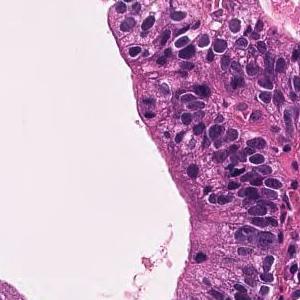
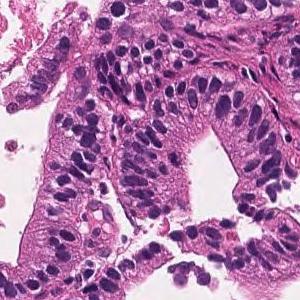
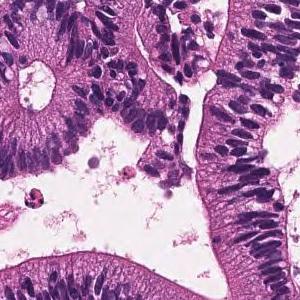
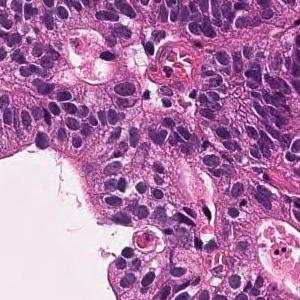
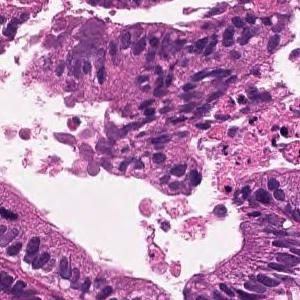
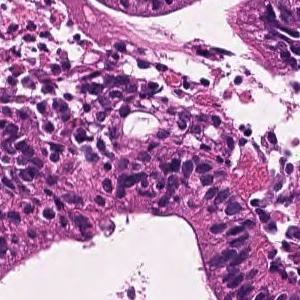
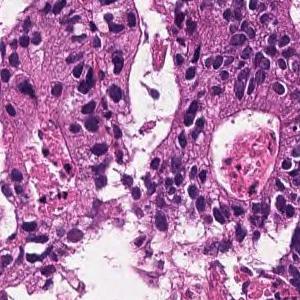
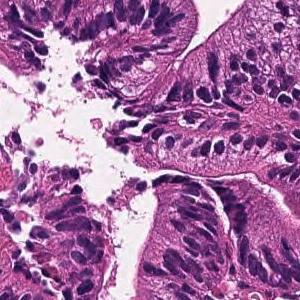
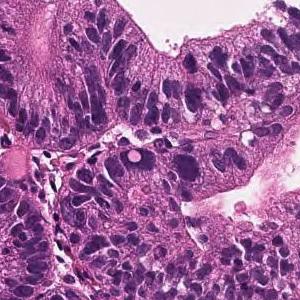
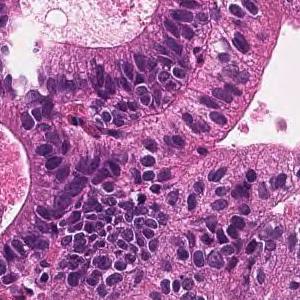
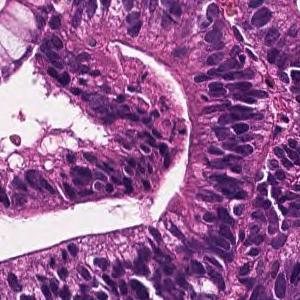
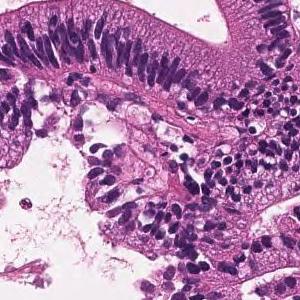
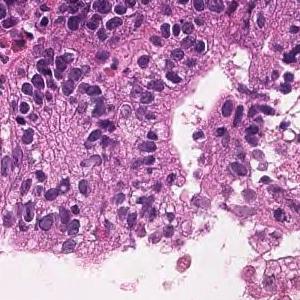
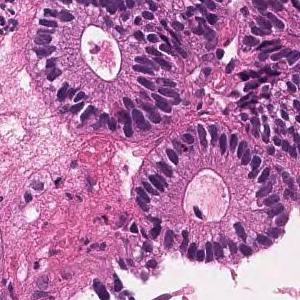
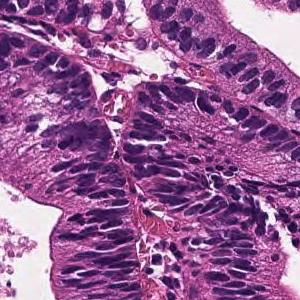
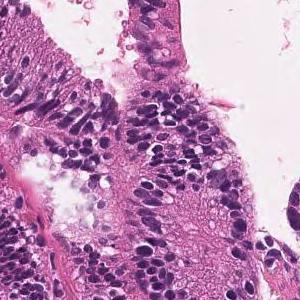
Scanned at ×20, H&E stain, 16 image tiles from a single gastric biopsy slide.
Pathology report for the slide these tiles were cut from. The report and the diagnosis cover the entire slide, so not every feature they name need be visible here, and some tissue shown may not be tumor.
From the superficial epithelium to the muscularis mucosae, tumor tissue infiltrating by forming medium-sized irregular gland ducts is observed. Large tumor cells exhibit large nucleus and hyperchromatism. Well differentiated tubular adenocarcinoma
